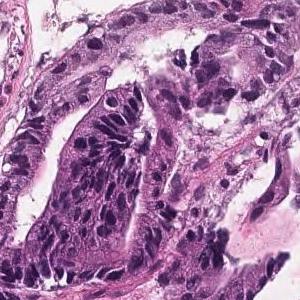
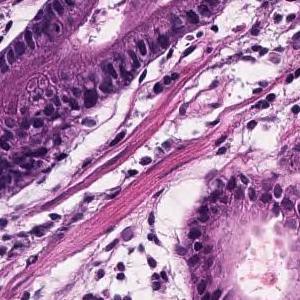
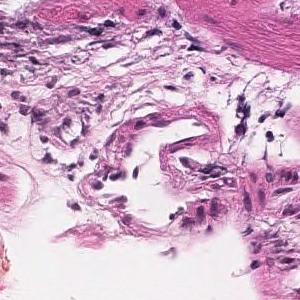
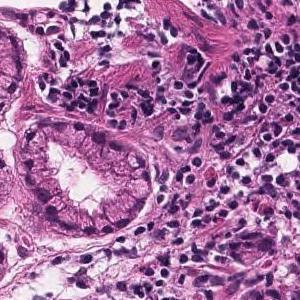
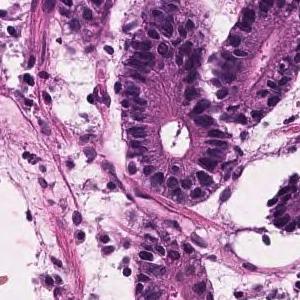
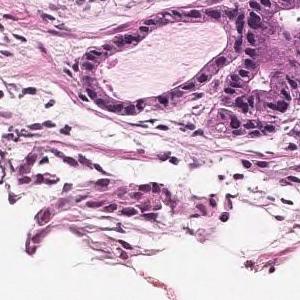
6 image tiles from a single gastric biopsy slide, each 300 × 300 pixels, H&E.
The pathologist's report on the biopsy slide these tiles were taken from. The report and the diagnosis describe the slide as a whole, so these tiles may not show every feature named and may include non-tumor tissue.
Tumor tissue with atypical epithelium showing irregular ductal or sieving ductal structure and proliferating is observed. Well to moderately differentiated tubular adenocarcinoma (well differentiated tubular adenocarcinoma-moderately differentiated tubular adenocarcinoma)
Classified as well to moderately differentiated tubular adenocarcinoma.
